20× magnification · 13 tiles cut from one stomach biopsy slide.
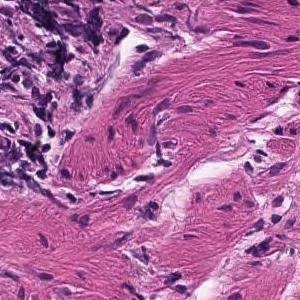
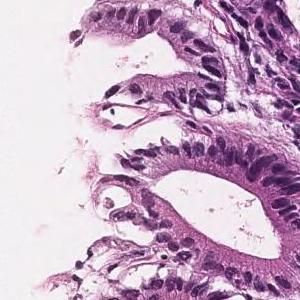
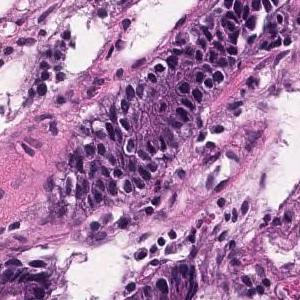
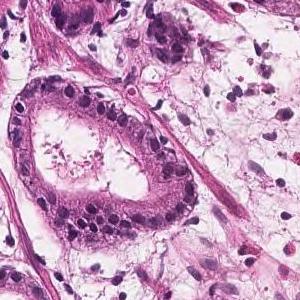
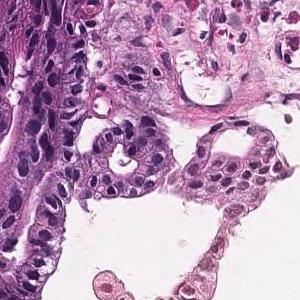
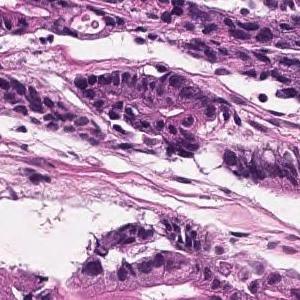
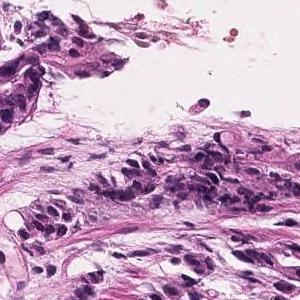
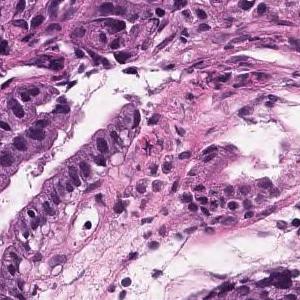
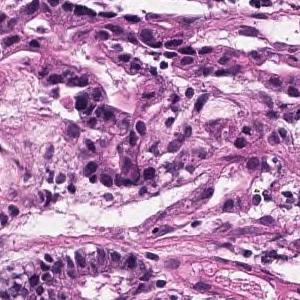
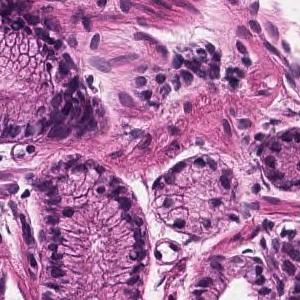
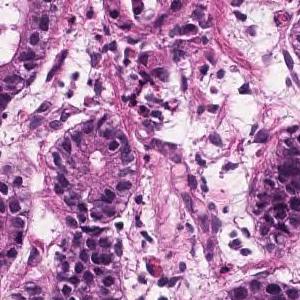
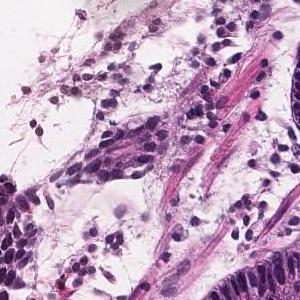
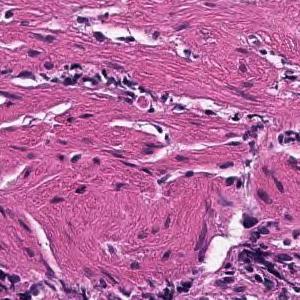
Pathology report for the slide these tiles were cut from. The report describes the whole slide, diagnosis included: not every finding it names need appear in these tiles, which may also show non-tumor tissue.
Tumor tissue with atypical epithelium showing irregular ductal or sieving ductal structure and proliferating is observed. Well to moderately differentiated tubular adenocarcinoma (well differentiated tubular adenocarcinoma-moderately differentiated tubular adenocarcinoma)
Histologic type: Well to moderately differentiated tubular adenocarcinoma.
